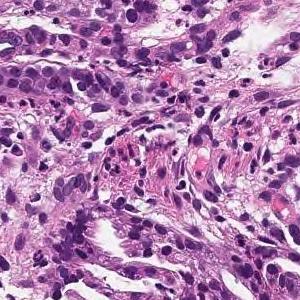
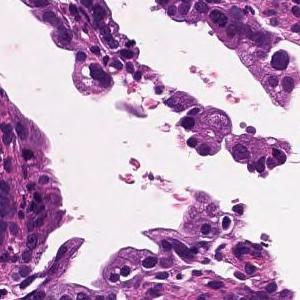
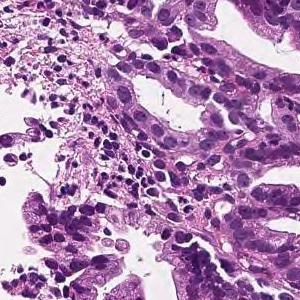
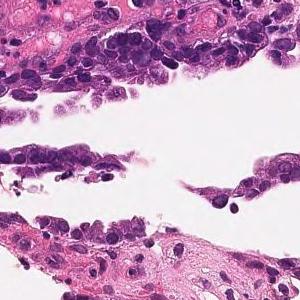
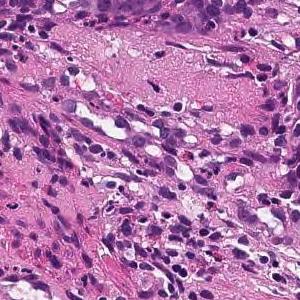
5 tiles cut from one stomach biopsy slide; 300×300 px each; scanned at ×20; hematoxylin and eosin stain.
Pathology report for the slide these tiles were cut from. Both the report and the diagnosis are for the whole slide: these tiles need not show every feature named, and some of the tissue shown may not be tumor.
On the superficial epithelium, tumor tissue that infiltrates by forming medium-sized papillary or small irregular ducts is observed. Papillary adenocarcinoma
